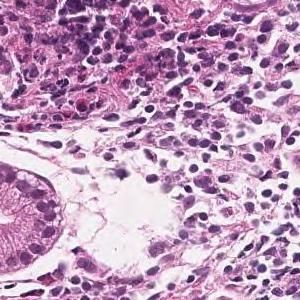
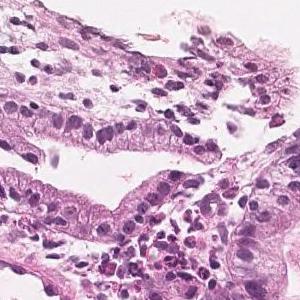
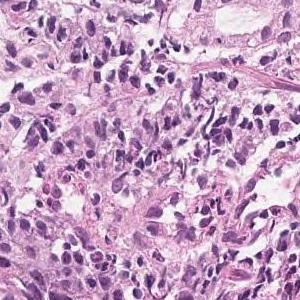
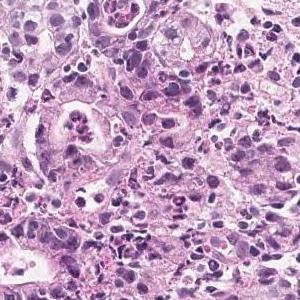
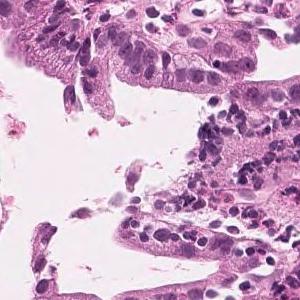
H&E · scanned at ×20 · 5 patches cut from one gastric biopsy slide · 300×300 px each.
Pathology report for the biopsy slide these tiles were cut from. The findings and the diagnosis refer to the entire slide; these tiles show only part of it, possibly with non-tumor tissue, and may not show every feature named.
On the superficial epithelium, tumor tissue consisting of large, irregular glandular ducts partially fused and infiltrated is observed. Well to moderately differentiated tubular adenocarcinoma (well differentiated tubular adenocarcinoma, moderately differentiated tubular adenocarcinoma)
Subtype: Well to moderately differentiated tubular adenocarcinoma.
